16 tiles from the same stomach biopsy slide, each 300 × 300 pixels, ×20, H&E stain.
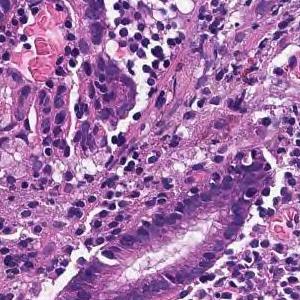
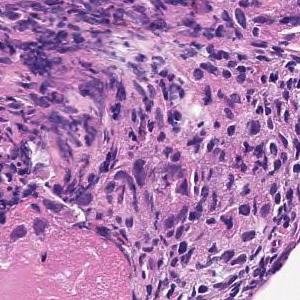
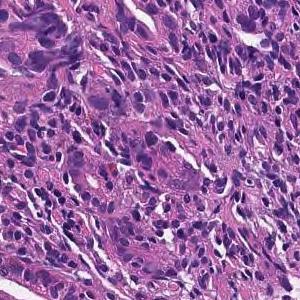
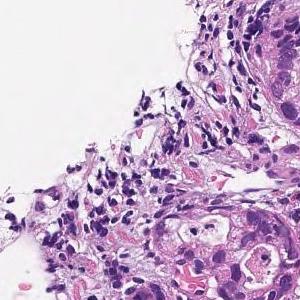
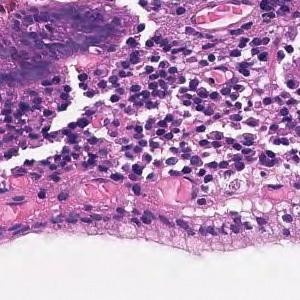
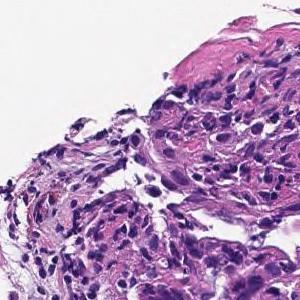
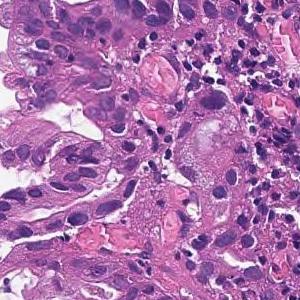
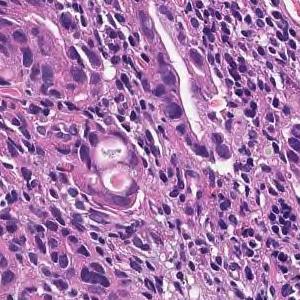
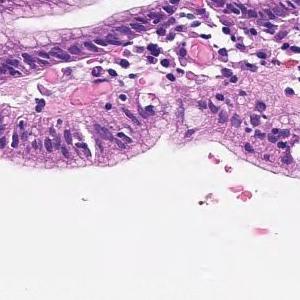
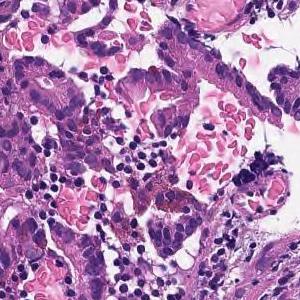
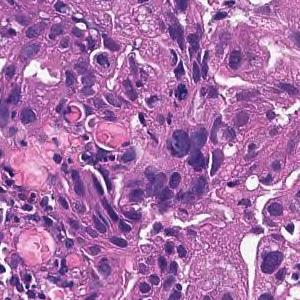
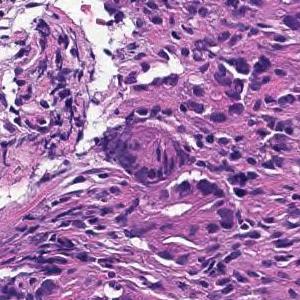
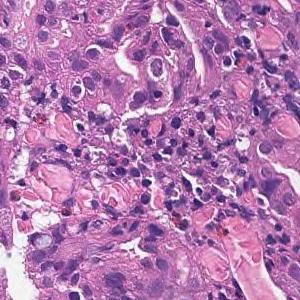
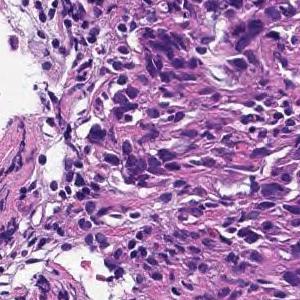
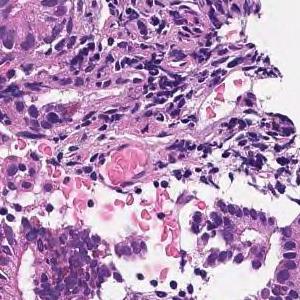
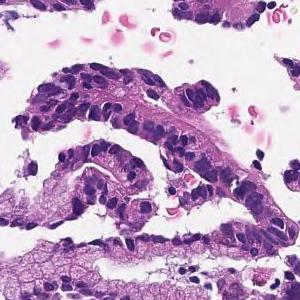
Pathology report for the slide these tiles were cut from. What the report and the diagnosis say applies to the whole slide; these tiles may miss some of the features named and may include tissue that is not tumor.
In the superficial epithelium, tumor tissue that invades by forming medium-sized to small, irregular ducts is observed. moderately differentiated tubular adenocarcinoma.
